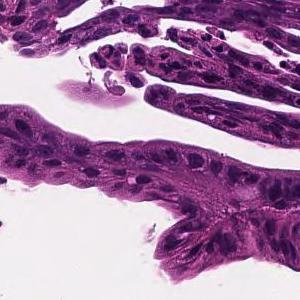
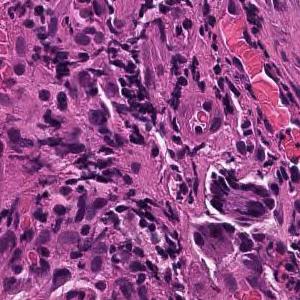
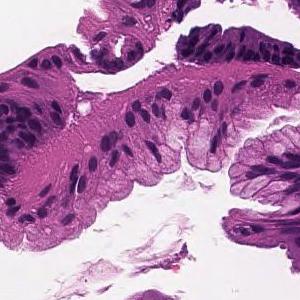
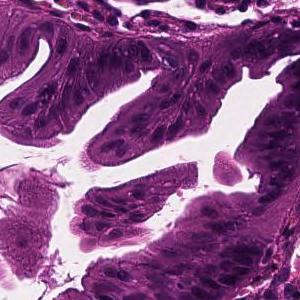
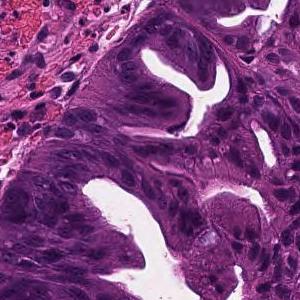
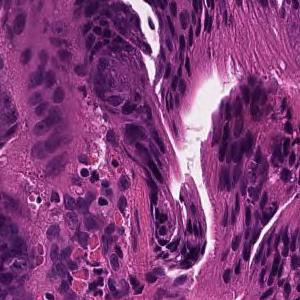
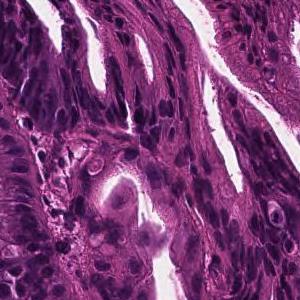
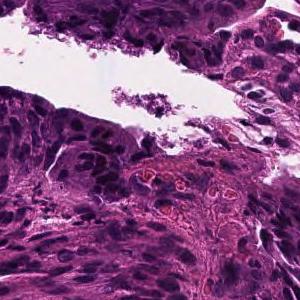
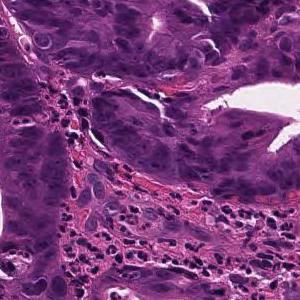
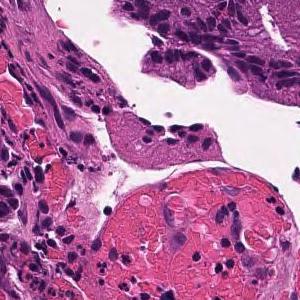
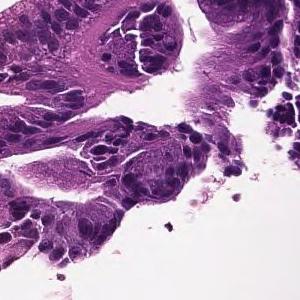
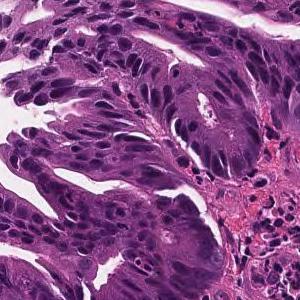
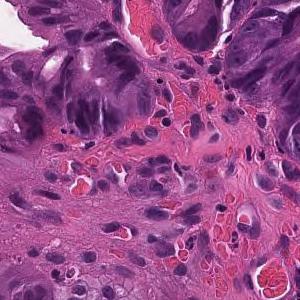
13 tiles from the same stomach biopsy slide · scanned at ×20.
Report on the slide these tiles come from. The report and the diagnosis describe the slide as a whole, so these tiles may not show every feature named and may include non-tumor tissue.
Tumor cells are large, highly columnar, large club-shaped nuclei, and are associated with chromatin aggregation. Papillary adenocarcinoma.
